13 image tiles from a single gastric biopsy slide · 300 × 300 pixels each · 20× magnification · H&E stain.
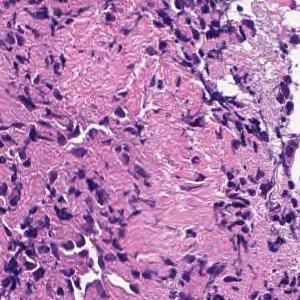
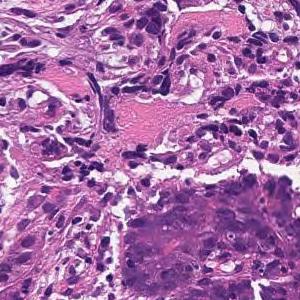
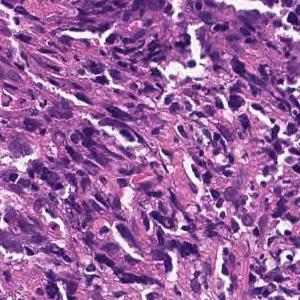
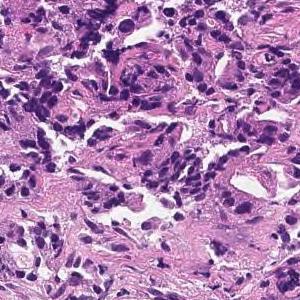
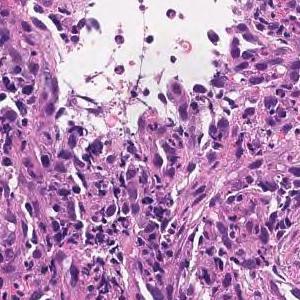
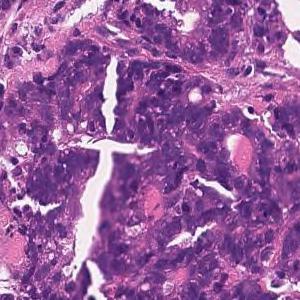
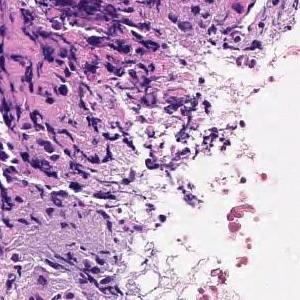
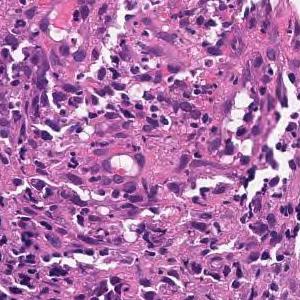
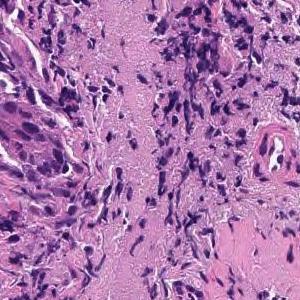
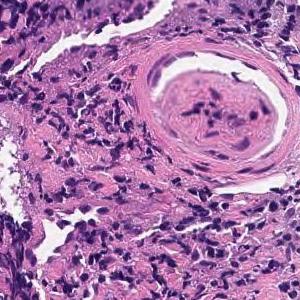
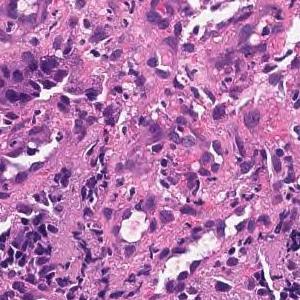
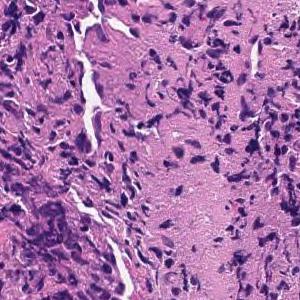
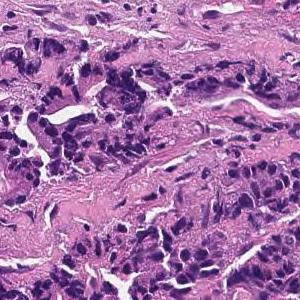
Diagnostic report for the slide these tiles come from. The findings and the diagnosis refer to the entire slide; these tiles show only part of it, possibly with non-tumor tissue, and may not show every feature named.
Tumor tissue consisting of medium-sized, cord-like or irregular glandular infiltration is observed in the superficial epithelium. Poorly differentiated adenocarcinoma, non-solid type or moderately differentiated tubular adenocarcinoma
Classified as moderately to poorly differentiated adenocarcinoma.
The non-solid type named here is a Japanese Classification of Gastric Carcinoma category.
